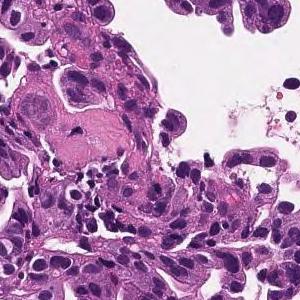
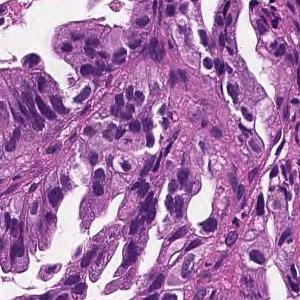
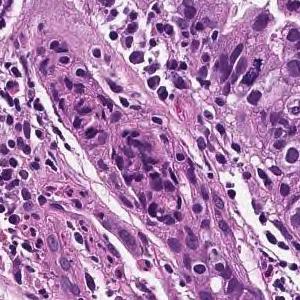
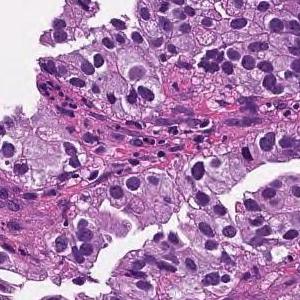
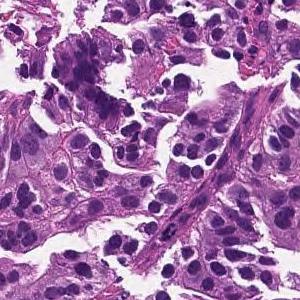
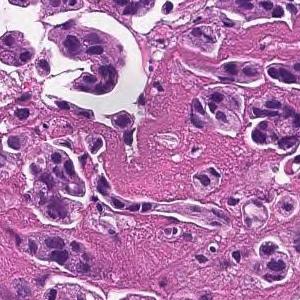
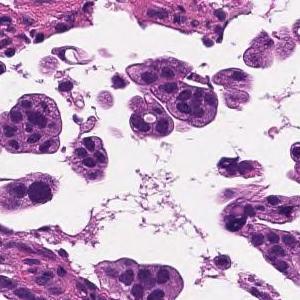
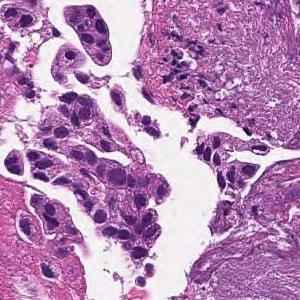
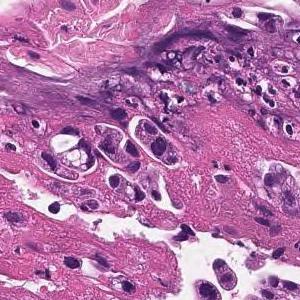
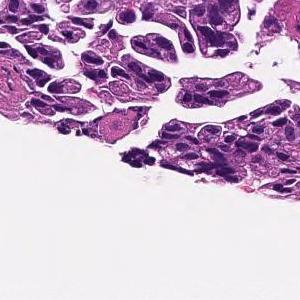
Scanned at ×20, H&E, 10 patches cut from one gastric biopsy slide, 300 × 300 pixels each.
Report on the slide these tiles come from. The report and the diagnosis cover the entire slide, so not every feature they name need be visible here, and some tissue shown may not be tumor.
Medium to small, irregular glandular ducts are formed in the superficial epithelium, and in some cases, the glandular ducts are fused to show solid alveolar lesions and infiltrating tumor tissue is observed. Moderately to poorly differentiated adenocarcinoma.
